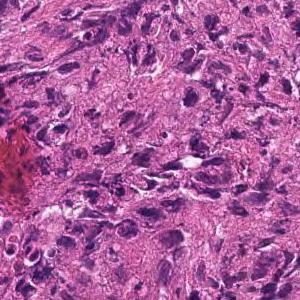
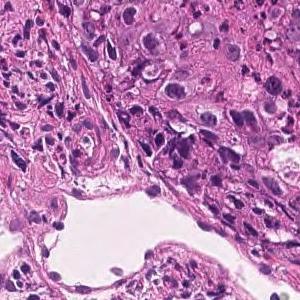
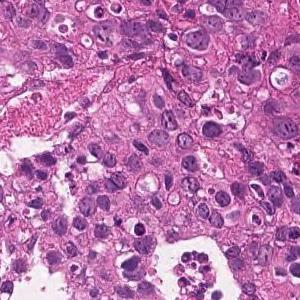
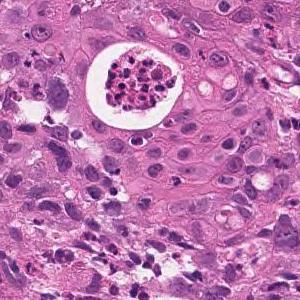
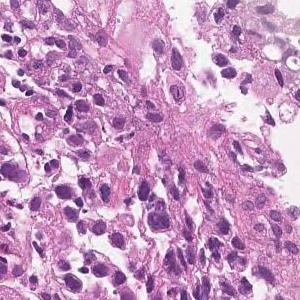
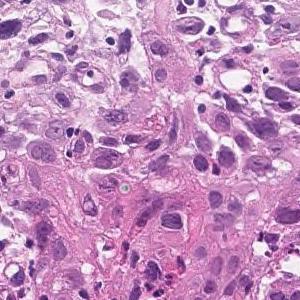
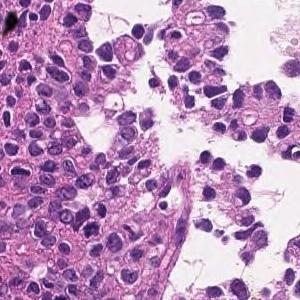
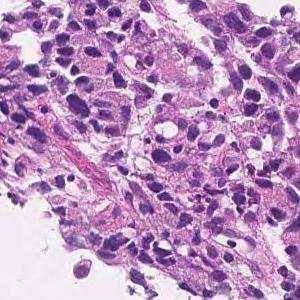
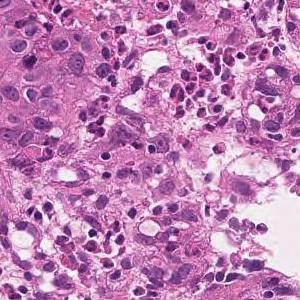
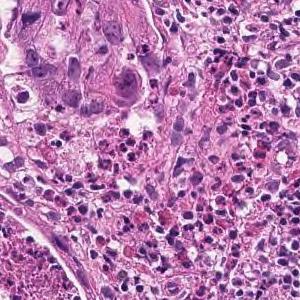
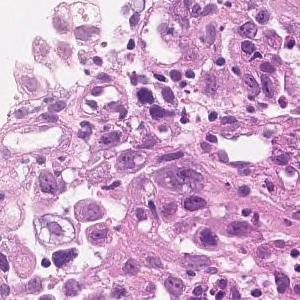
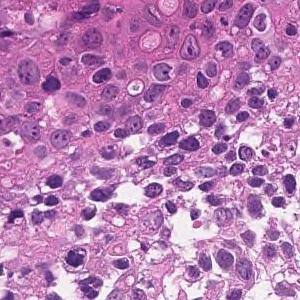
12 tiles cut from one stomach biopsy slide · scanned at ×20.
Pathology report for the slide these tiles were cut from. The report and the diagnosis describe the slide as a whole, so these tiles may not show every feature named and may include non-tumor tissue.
The superficial epithelium shows a large sheet-like shape, and some tumor tissue infiltrates with small irregular ducts. Poorly differentiated adenocarcinoma, solid-type
Histological subtype: Poorly differentiated adenocarcinoma, solid type. This name comes from the Japanese Classification of Gastric Carcinoma; the WHO 2019 classification calls it tubular adenocarcinoma, poorly differentiated.
